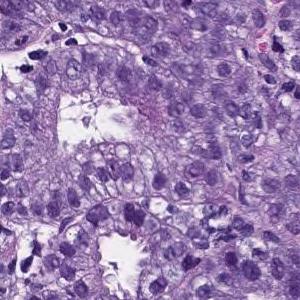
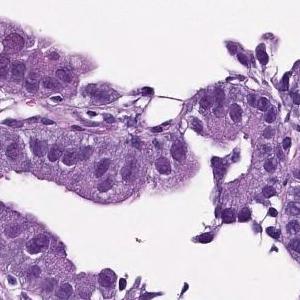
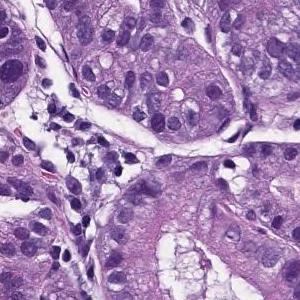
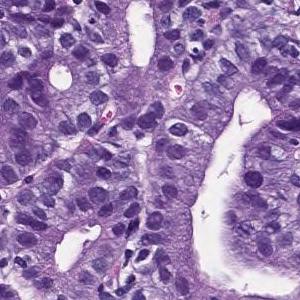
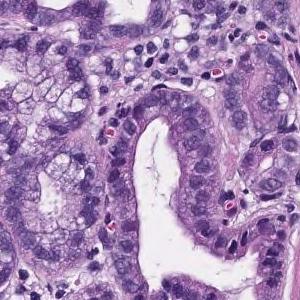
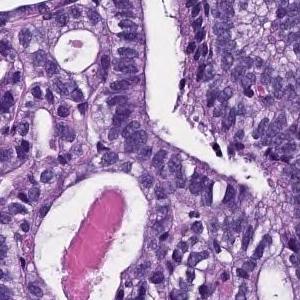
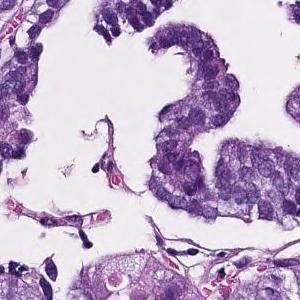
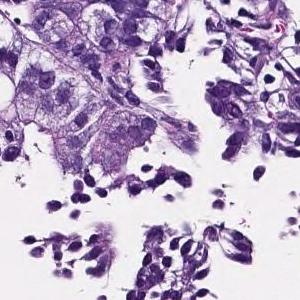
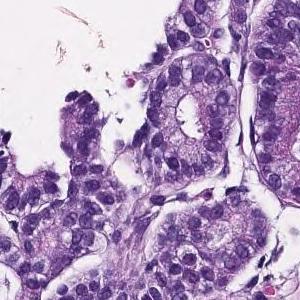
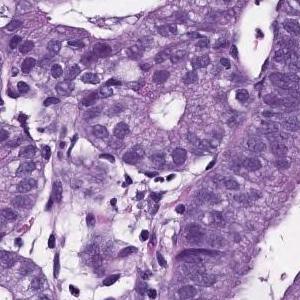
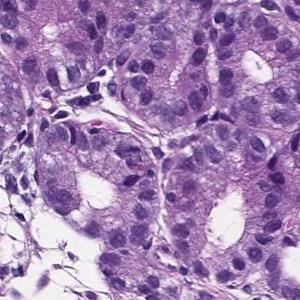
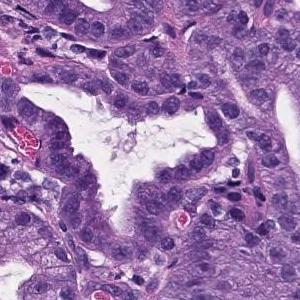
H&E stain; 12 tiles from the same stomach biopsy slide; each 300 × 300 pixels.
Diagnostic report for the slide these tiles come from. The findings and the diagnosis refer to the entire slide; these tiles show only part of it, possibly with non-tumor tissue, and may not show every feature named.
On the superficial epithelium, tumor tissue that infiltrates by forming medium-sized papillary or small irregular ducts is observed. Papillary adenocarcinoma
